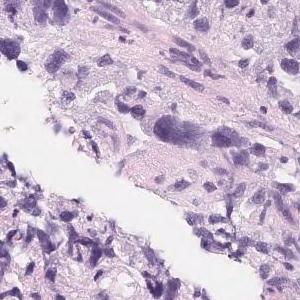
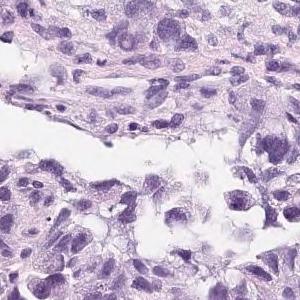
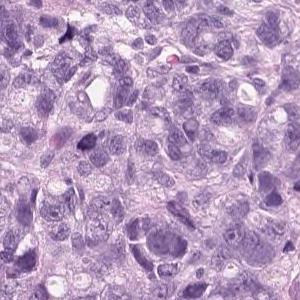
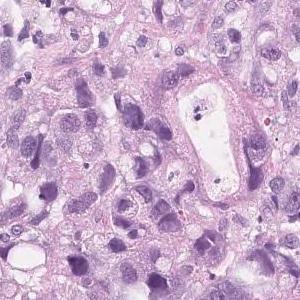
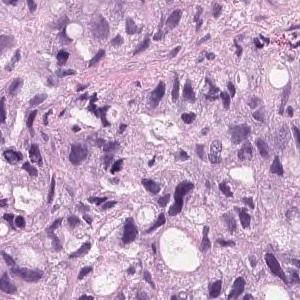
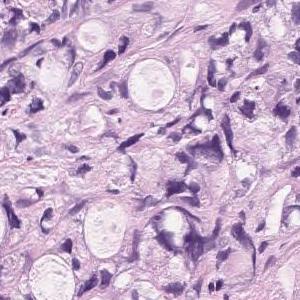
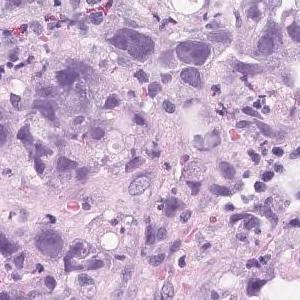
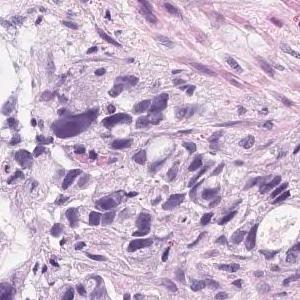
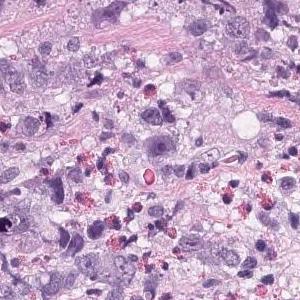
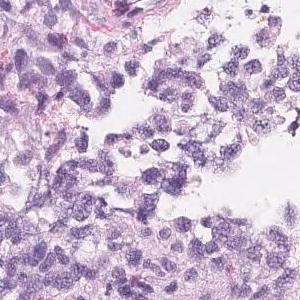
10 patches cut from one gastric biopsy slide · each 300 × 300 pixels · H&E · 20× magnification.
Pathology report for the biopsy slide these tiles were cut from. The report and the diagnosis describe the slide as a whole, so these tiles may not show every feature named and may include non-tumor tissue.
Tumor tissue that infiltrates and proliferates by forming small glandular cavities in the superficial layer to the submucosa or forming a mass is observed. moderately differentiated tubular adenocarcinoma
